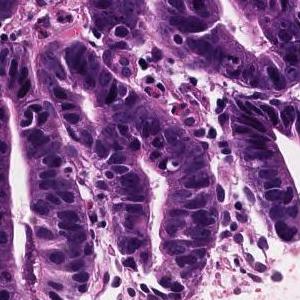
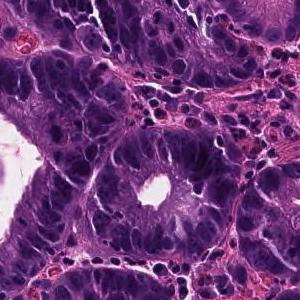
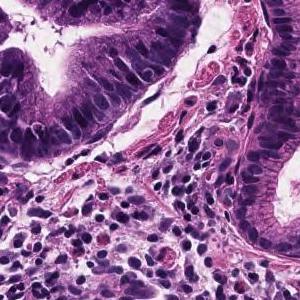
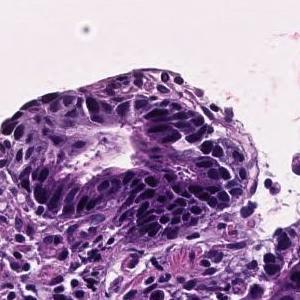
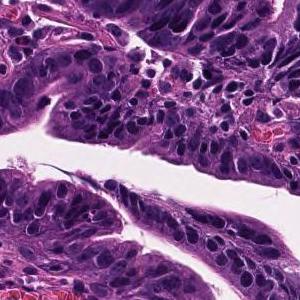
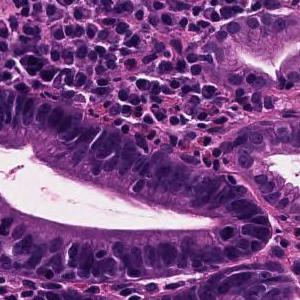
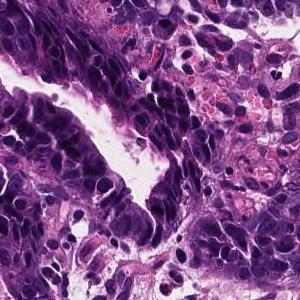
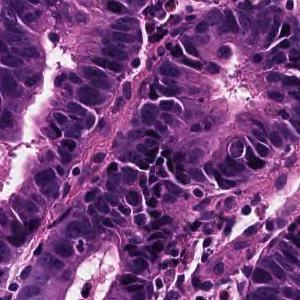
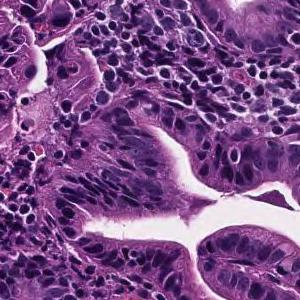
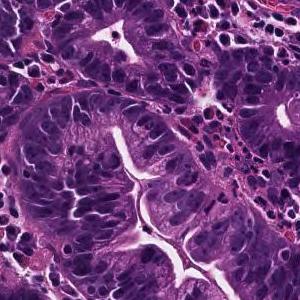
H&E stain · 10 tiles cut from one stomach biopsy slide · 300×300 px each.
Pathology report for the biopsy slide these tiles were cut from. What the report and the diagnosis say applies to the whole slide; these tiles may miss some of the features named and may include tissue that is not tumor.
On the superficial epithelium, tumor tissue consisting of growth of medium-sized to large-sized, round or irregular glandular ducts is observed. Well differentiated tubular adenocarcinoma
